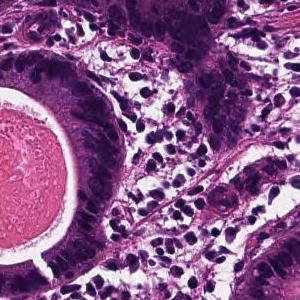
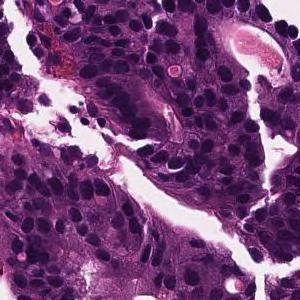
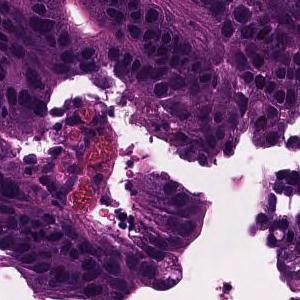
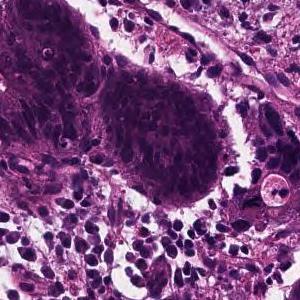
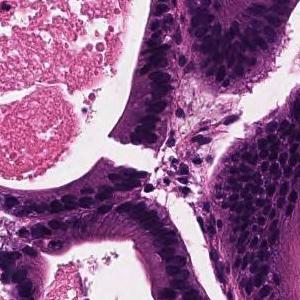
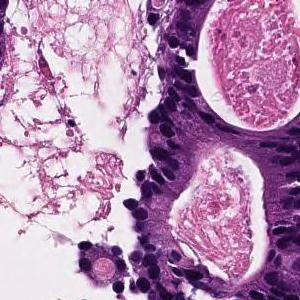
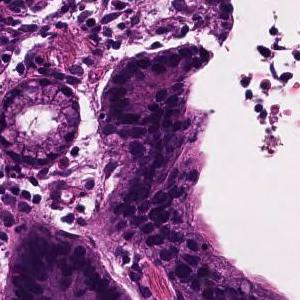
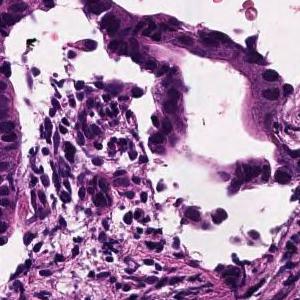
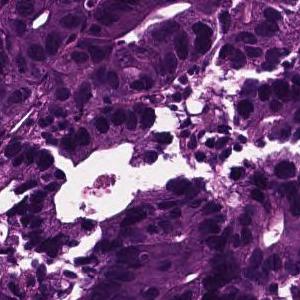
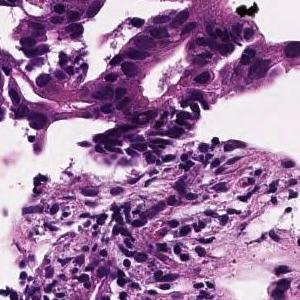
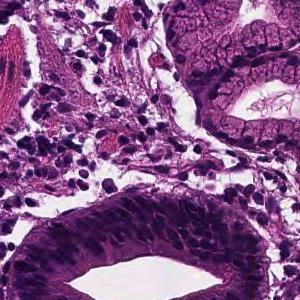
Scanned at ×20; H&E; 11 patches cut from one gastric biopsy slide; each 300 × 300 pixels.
The pathologist's report on the biopsy slide these tiles were taken from. What the report and the diagnosis say applies to the whole slide; these tiles may miss some of the features named and may include tissue that is not tumor.
In the superficial epithelium, tumor tissue that invades by forming medium-sized to small, irregular ducts is observed. moderately differentiated tubular adenocarcinoma.
